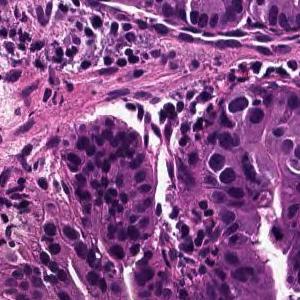
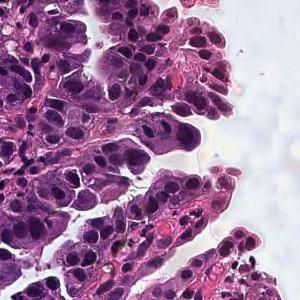
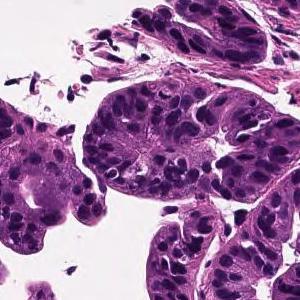
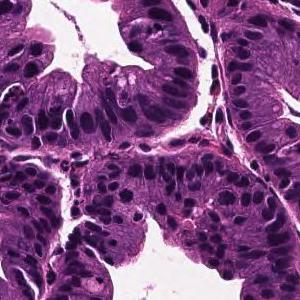
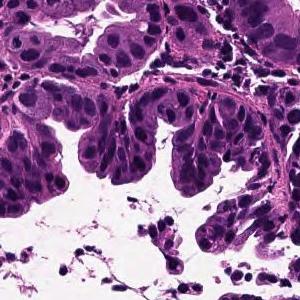
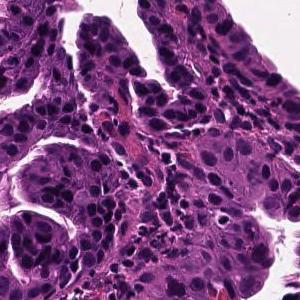
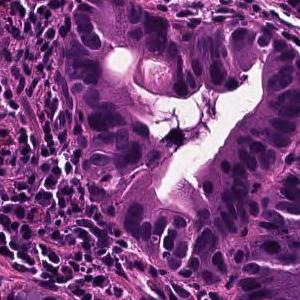
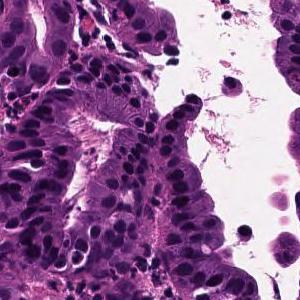
Scanned at ×20; 8 patches cut from one gastric biopsy slide.
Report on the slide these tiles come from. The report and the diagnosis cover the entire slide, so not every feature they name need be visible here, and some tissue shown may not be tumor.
Tumor cells are large, highly columnar, large club-shaped nuclei, and are associated with chromatin aggregation. Papillary adenocarcinoma.
